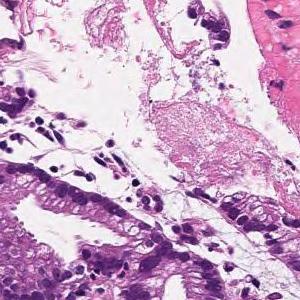
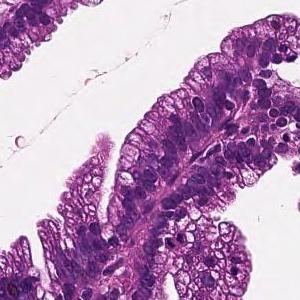
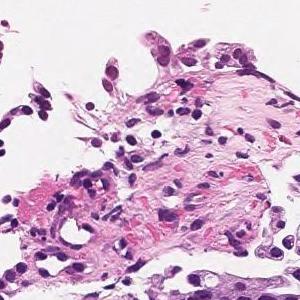
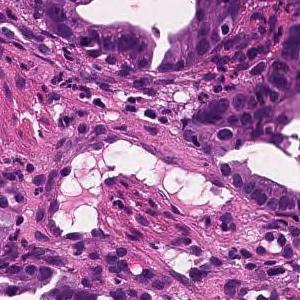
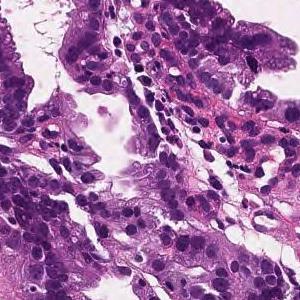
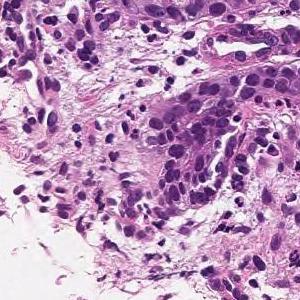
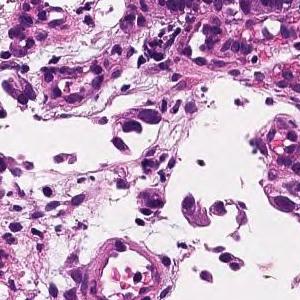
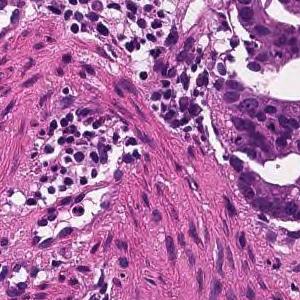
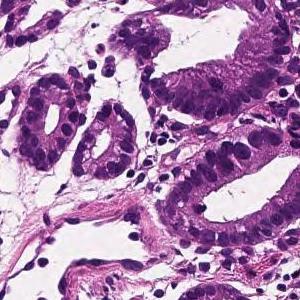
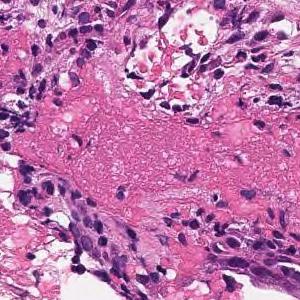
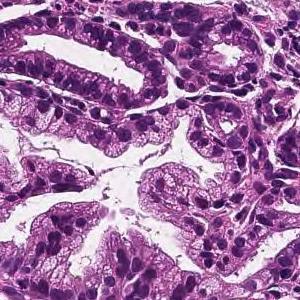
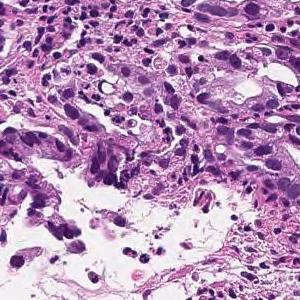
12 patches cut from one gastric biopsy slide, 300×300 px each, H&E, 20× magnification.
Diagnostic report for the slide these tiles come from. The report and the diagnosis describe the slide as a whole, so these tiles may not show every feature named and may include non-tumor tissue.
On the superficial epithelium, tumor tissue that infiltrates by forming medium-sized papillary or small irregular ducts is observed. Papillary adenocarcinoma
